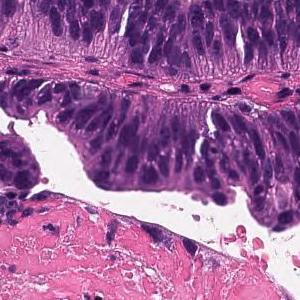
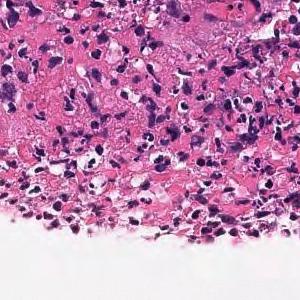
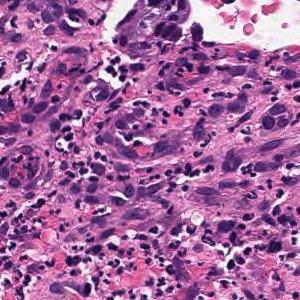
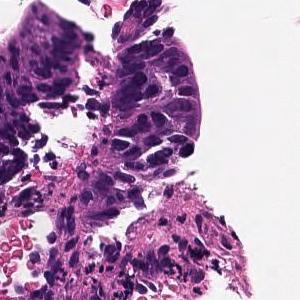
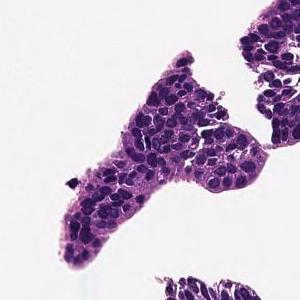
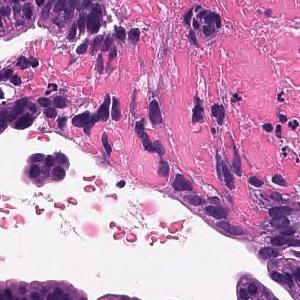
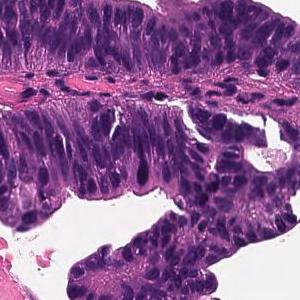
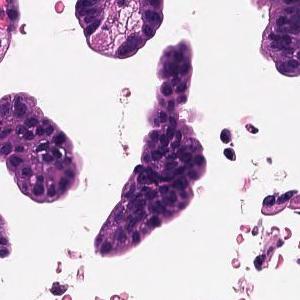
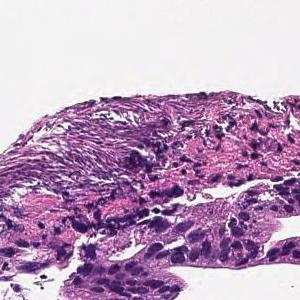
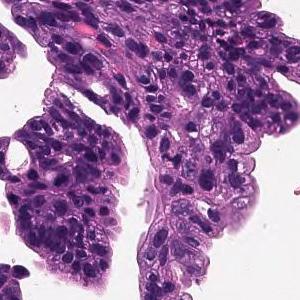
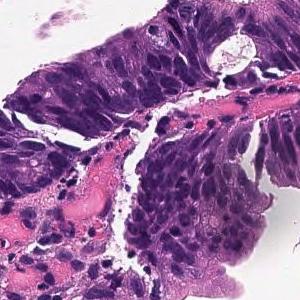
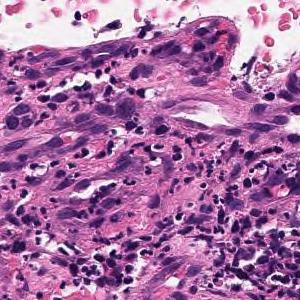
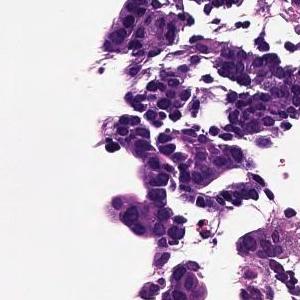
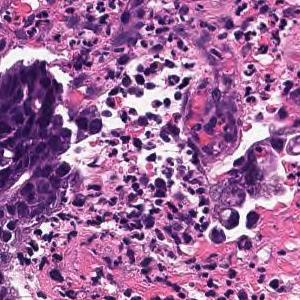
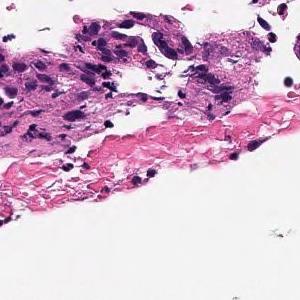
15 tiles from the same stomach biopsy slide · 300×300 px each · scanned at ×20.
Pathology report for the slide these tiles were cut from. What the report and the diagnosis say applies to the whole slide; these tiles may miss some of the features named and may include tissue that is not tumor.
Tumor cells are large, highly columnar, large club-shaped nuclei, and are associated with chromatin aggregation. Papillary adenocarcinoma.
